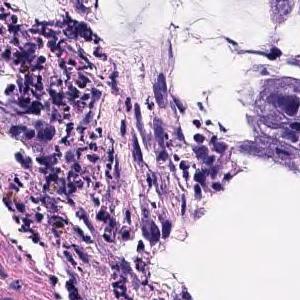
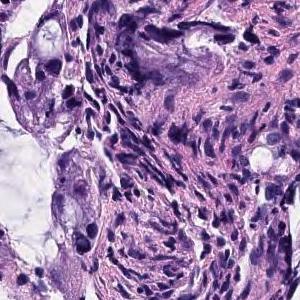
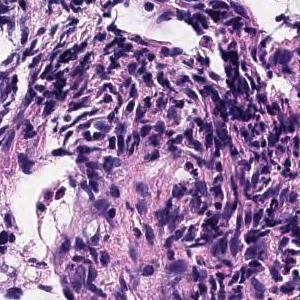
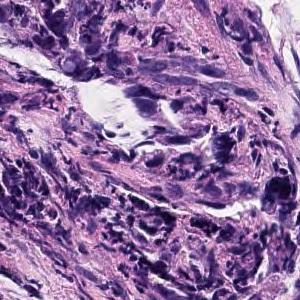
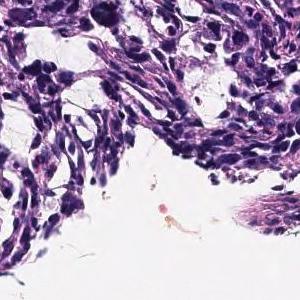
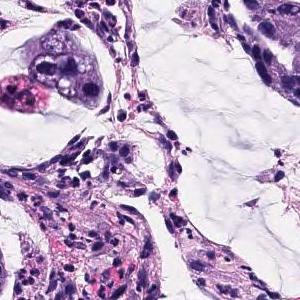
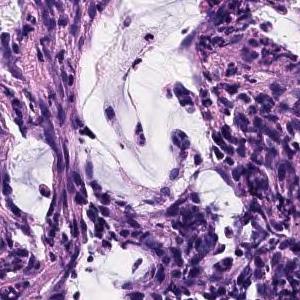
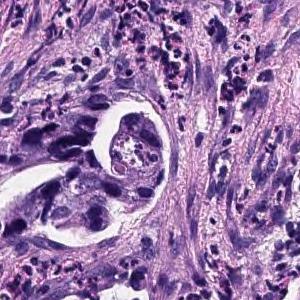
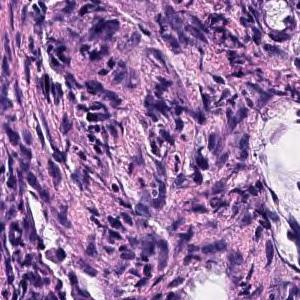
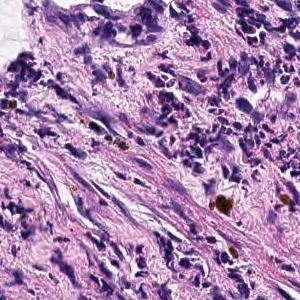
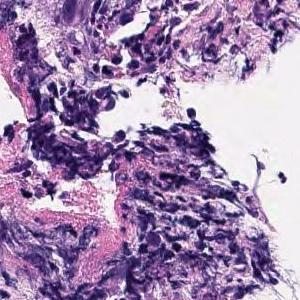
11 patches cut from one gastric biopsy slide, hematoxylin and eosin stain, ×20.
Report on the slide these tiles come from. Both the report and the diagnosis are for the whole slide: these tiles need not show every feature named, and some of the tissue shown may not be tumor.
The superficial epithelium shows small cord-like infiltrating tumor tissue. Some part of neoplastic cells are signet ring cell type which show single invasion manner. Poorly differentiated adenocarcinoma, non-solid type.
The term "non-solid type" comes from the Japanese Classification of Gastric Carcinoma.
